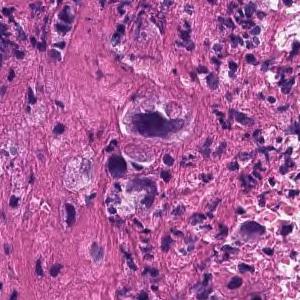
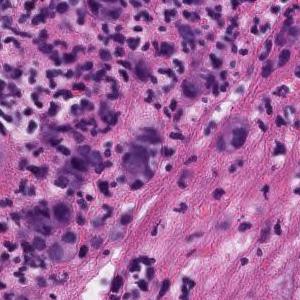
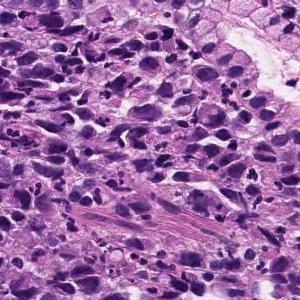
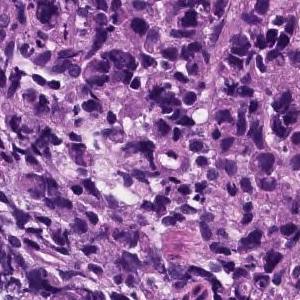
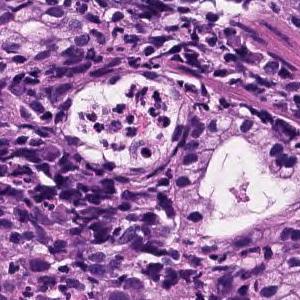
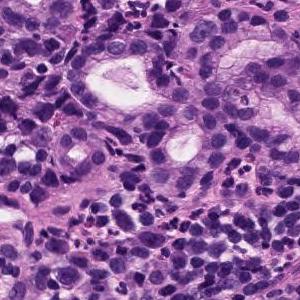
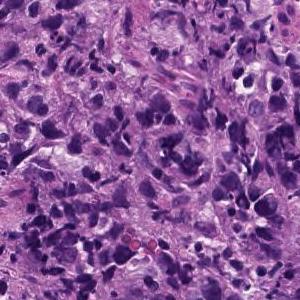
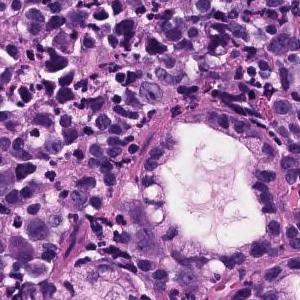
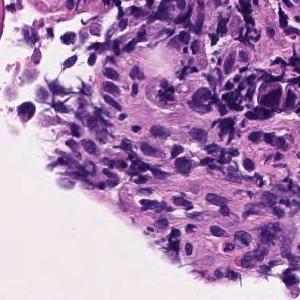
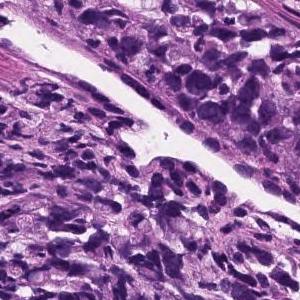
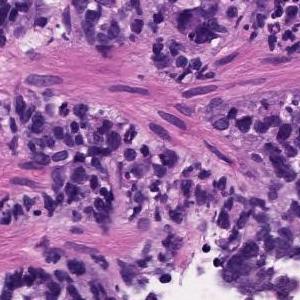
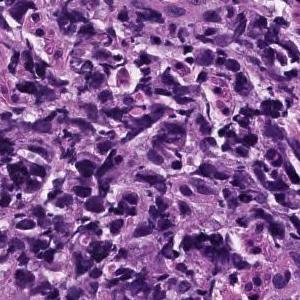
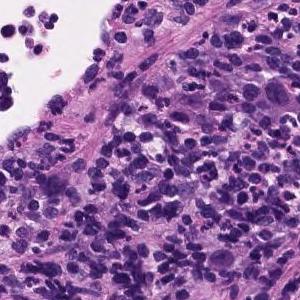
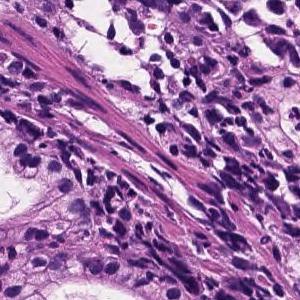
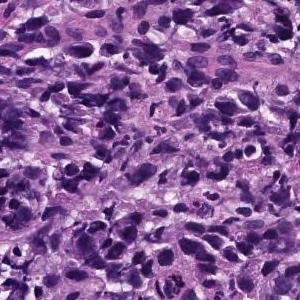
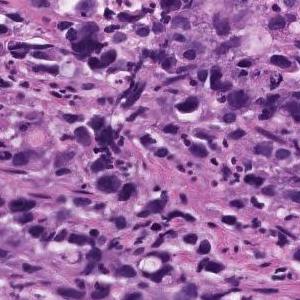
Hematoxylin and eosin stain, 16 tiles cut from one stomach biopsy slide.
Diagnostic report for the slide these tiles come from. The report and the diagnosis cover the entire slide, so not every feature they name need be visible here, and some tissue shown may not be tumor.
Poorly differentiated, solid adenocarcinoma (poorly differentiated adenocarcinoma, solid type) with tumor tissue diffusely infiltrated with atypical epithelial cells
Histological subtype: Poorly differentiated adenocarcinoma, solid type (Japanese Classification of Gastric Carcinoma). The WHO 2019 equivalent is tubular adenocarcinoma, poorly differentiated.
